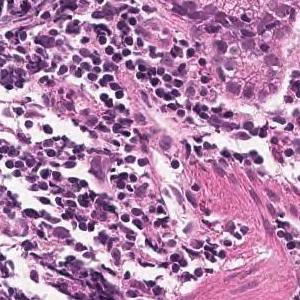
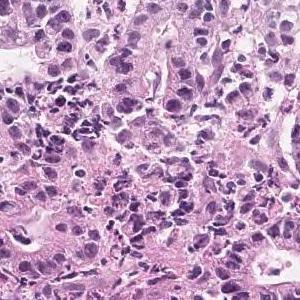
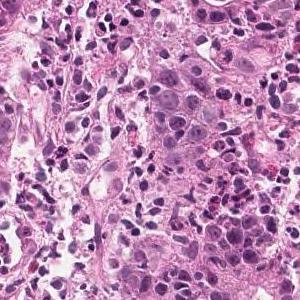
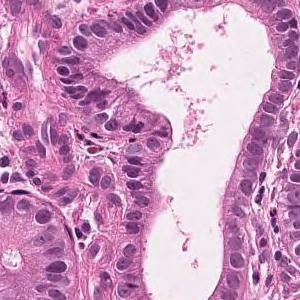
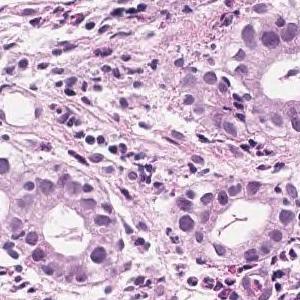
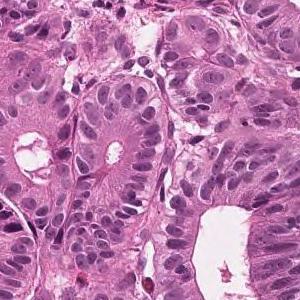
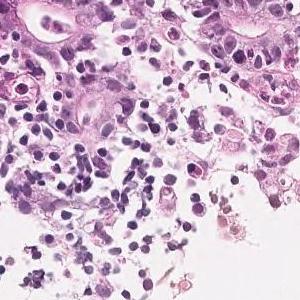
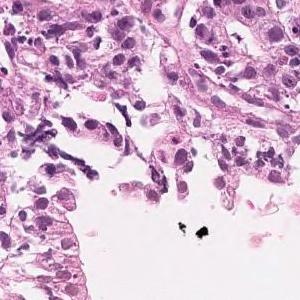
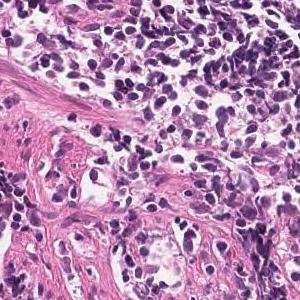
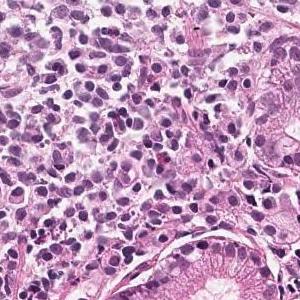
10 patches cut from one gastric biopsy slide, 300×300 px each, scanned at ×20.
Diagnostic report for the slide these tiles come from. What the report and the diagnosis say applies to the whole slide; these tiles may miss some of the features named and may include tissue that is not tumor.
On the superficial epithelium, tumor tissue consisting of large, irregular glandular ducts partially fused and infiltrated is observed. Well to moderately differentiated tubular adenocarcinoma (well differentiated tubular adenocarcinoma, moderately differentiated tubular adenocarcinoma)
Histologic type: Well to moderately differentiated tubular adenocarcinoma.
